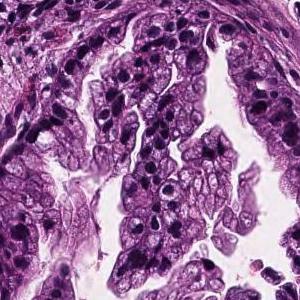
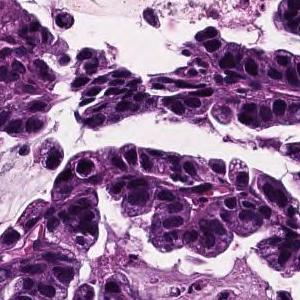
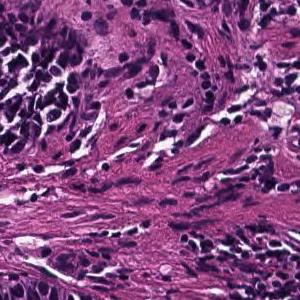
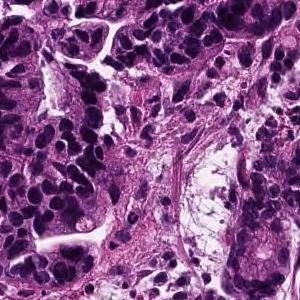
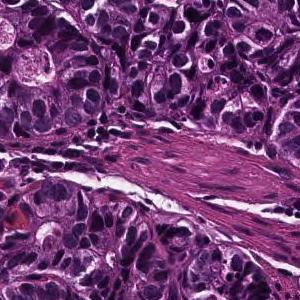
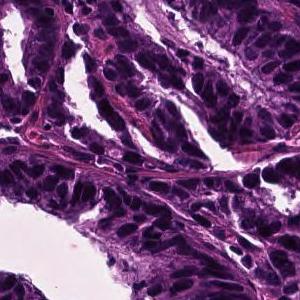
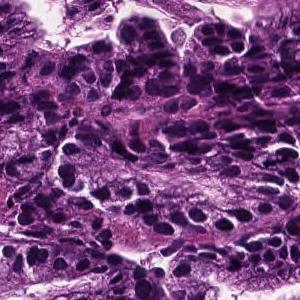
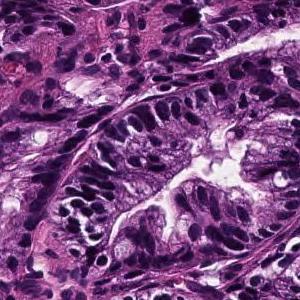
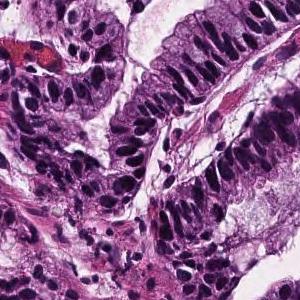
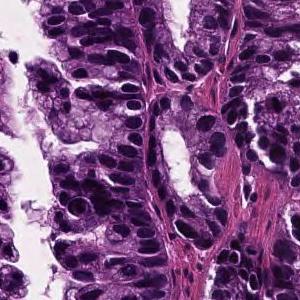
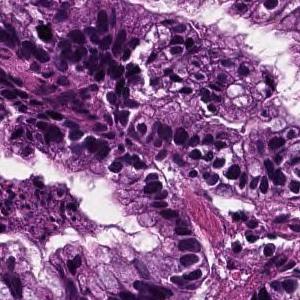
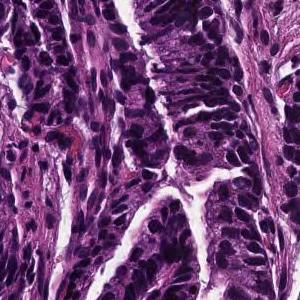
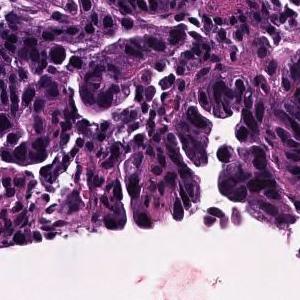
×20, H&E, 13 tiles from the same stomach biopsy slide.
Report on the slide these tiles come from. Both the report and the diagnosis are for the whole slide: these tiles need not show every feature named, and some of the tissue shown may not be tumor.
In the superficial epithelium, tumor tissue that invades by forming medium-sized to small, irregular ducts is observed. Well differentiated tubular adenocarcinoma.
